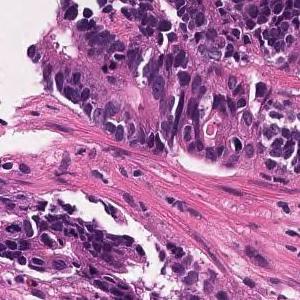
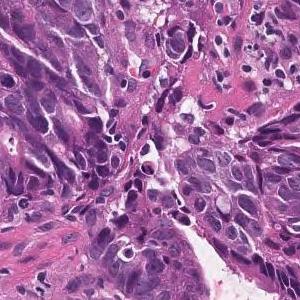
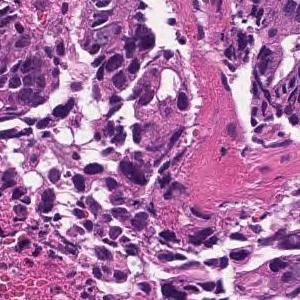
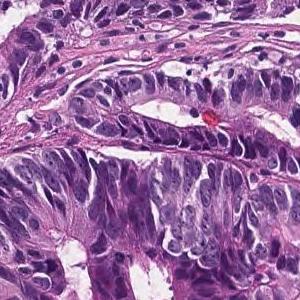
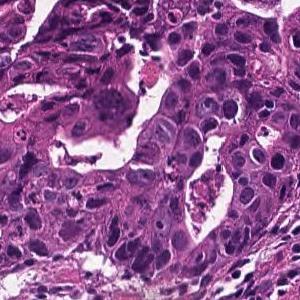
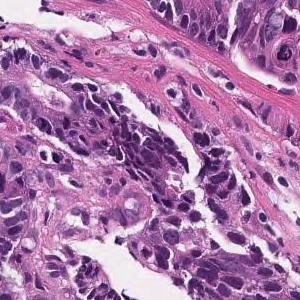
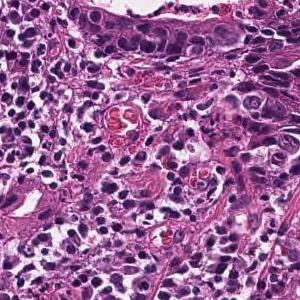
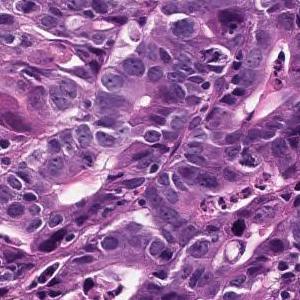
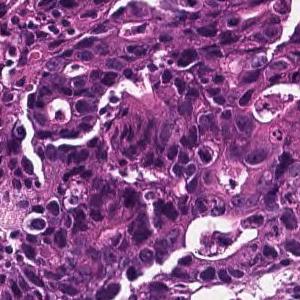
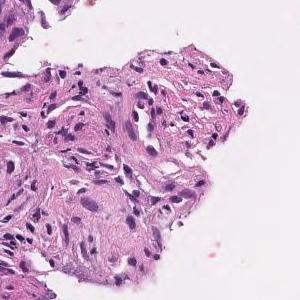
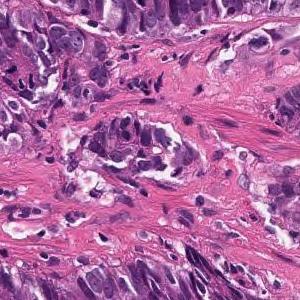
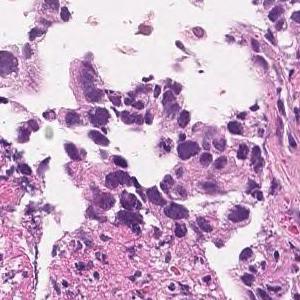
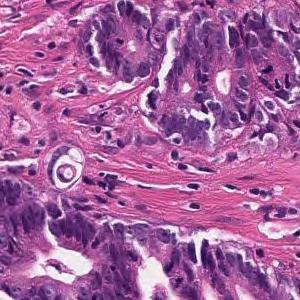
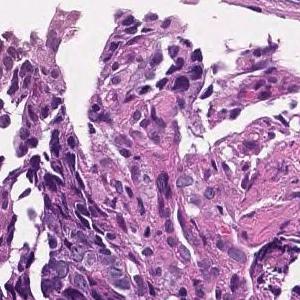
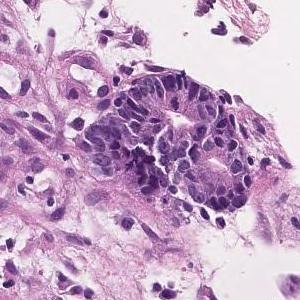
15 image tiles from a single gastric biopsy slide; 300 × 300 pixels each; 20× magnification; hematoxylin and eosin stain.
Pathology report for the biopsy slide these tiles were cut from. Both the report and the diagnosis are for the whole slide: these tiles need not show every feature named, and some of the tissue shown may not be tumor.
In the superficial epithelium, tumor tissue that invades by forming medium-sized to small, irregular ducts is observed. moderately differentiated tubular adenocarcinoma.
